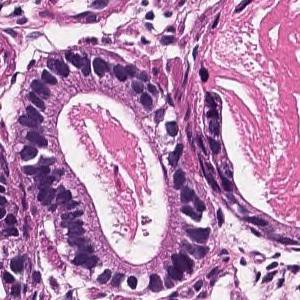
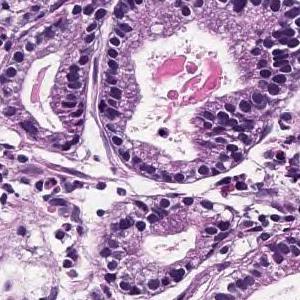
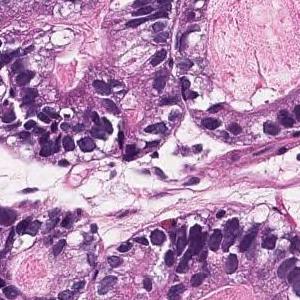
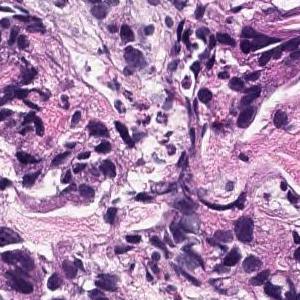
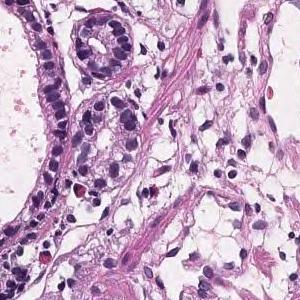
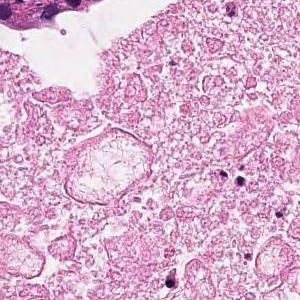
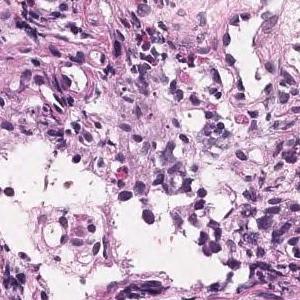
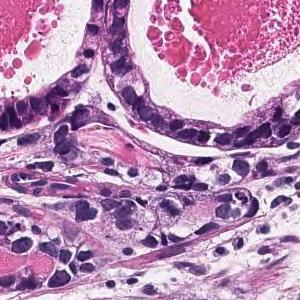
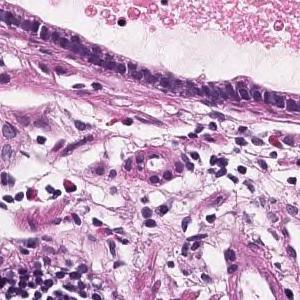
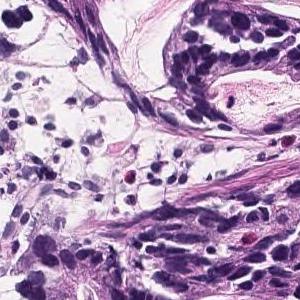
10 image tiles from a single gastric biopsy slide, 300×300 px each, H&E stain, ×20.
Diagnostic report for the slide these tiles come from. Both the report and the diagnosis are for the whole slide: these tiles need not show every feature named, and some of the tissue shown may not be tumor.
Tumor tissue consisting of medium-sized and irregular ducts is observed infiltrating in the superficial epithelium. Tumor cells are highly columnar, with nuclei aligned basolaterally and polarized. Well differentiated tubular adenocarcinoma.
